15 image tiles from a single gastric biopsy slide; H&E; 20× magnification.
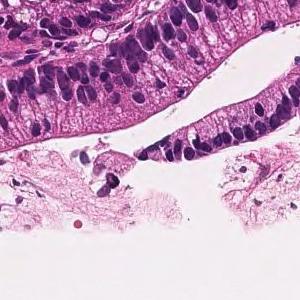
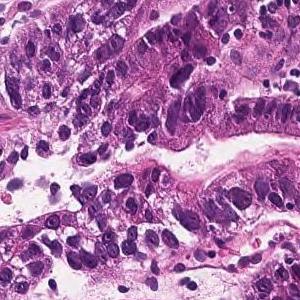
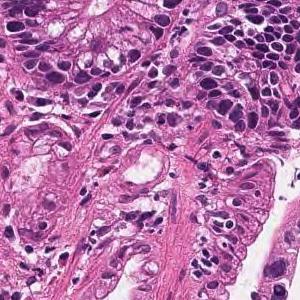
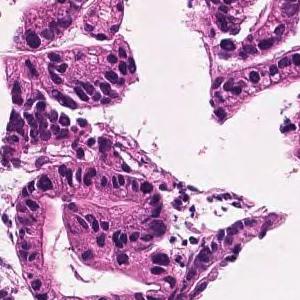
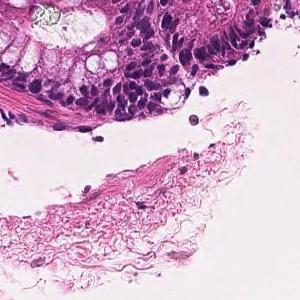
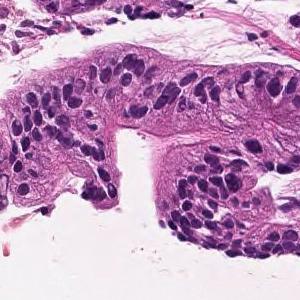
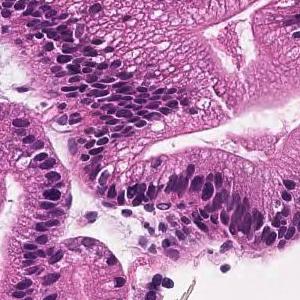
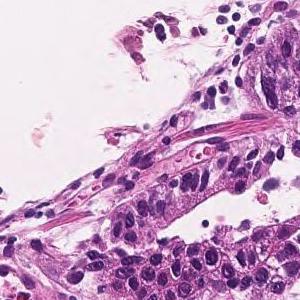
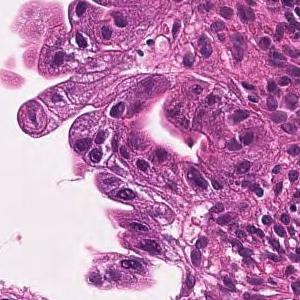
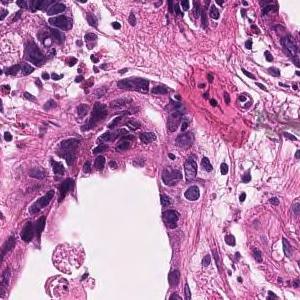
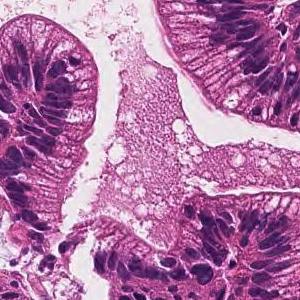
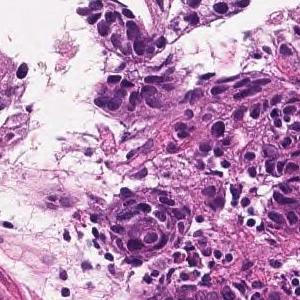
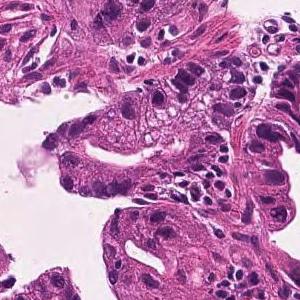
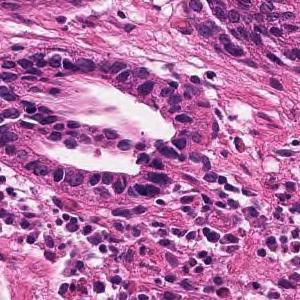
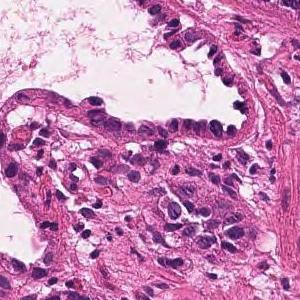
Pathology report for the slide these tiles were cut from. The report describes the whole slide, diagnosis included: not every finding it names need appear in these tiles, which may also show non-tumor tissue.
In the superficial epithelium, tumor tissue that invades by forming medium-sized to small, irregular ducts is observed. moderately differentiated tubular adenocarcinoma.
